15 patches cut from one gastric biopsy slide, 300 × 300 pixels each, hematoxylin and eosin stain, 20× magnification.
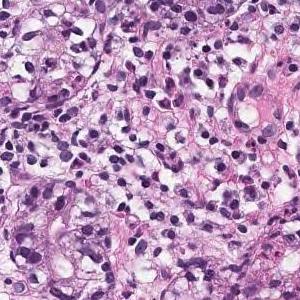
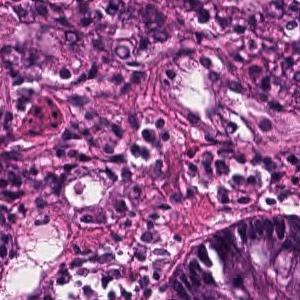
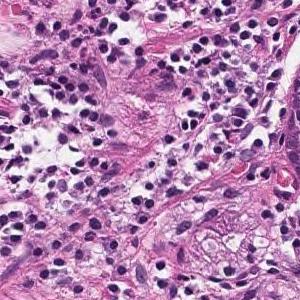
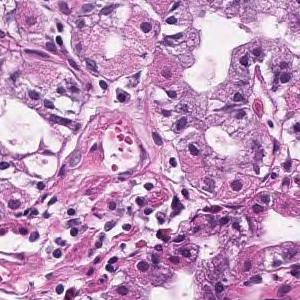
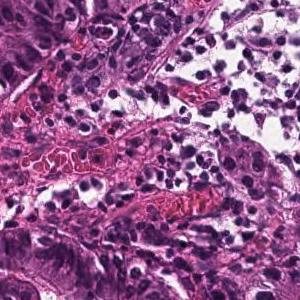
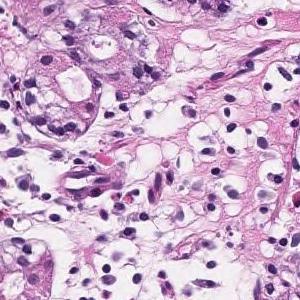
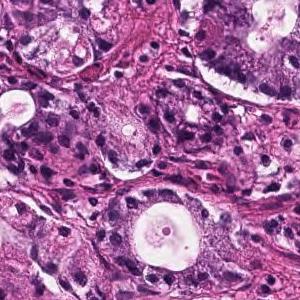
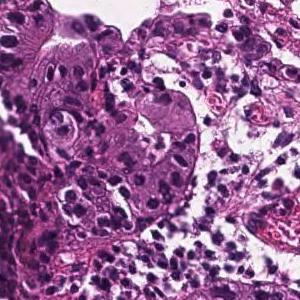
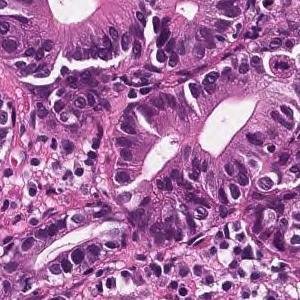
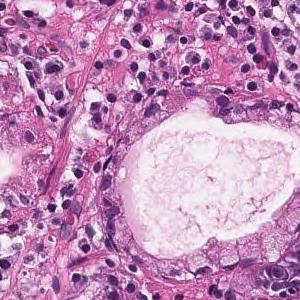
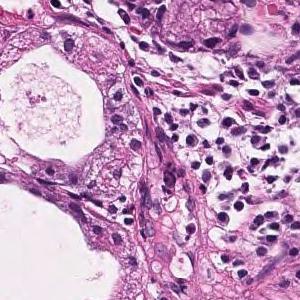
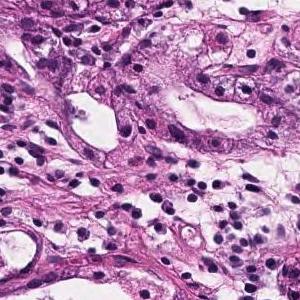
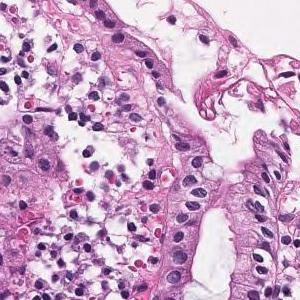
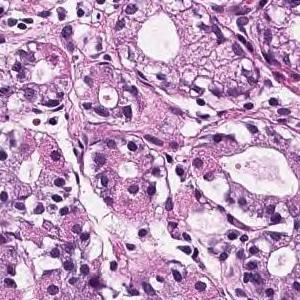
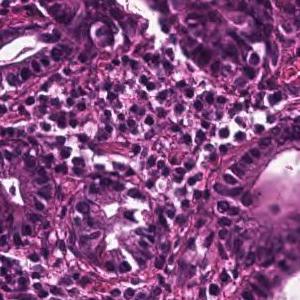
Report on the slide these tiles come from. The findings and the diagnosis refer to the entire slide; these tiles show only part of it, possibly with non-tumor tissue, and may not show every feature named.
Tumor tissue in which medium to small irregular ducts infiltrate and proliferate in the submucosa can be seen in the epithelium. Well differentiated tubular adenocarcinoma
